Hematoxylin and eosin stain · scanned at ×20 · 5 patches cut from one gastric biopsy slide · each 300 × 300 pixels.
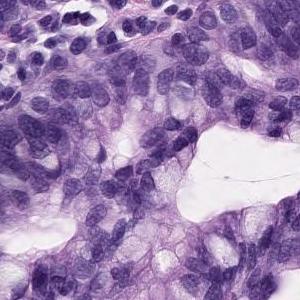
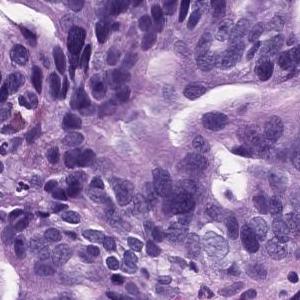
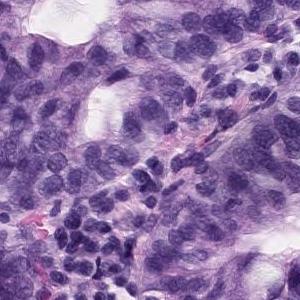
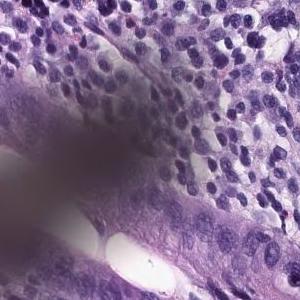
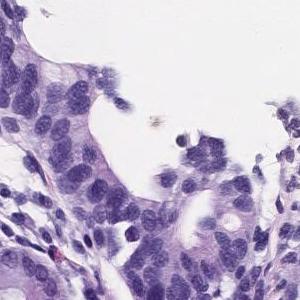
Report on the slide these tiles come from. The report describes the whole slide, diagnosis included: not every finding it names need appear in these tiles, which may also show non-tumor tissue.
In the superficial epithelium, tumor tissue that invades by forming medium-sized to small, irregular ducts is observed. Moderately differentiated adenocarcinoma.
Histological subtype: Moderately differentiated tubular adenocarcinoma.
